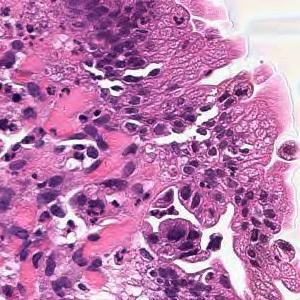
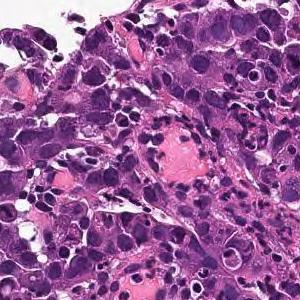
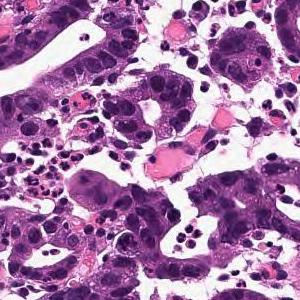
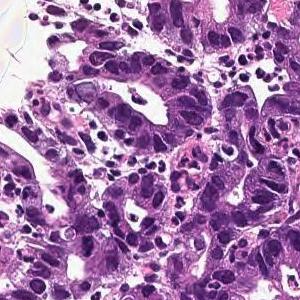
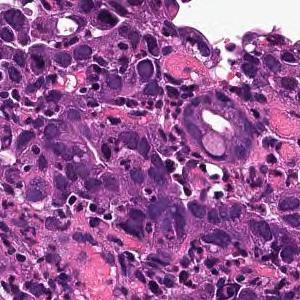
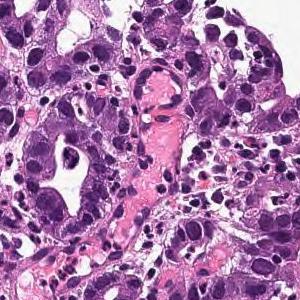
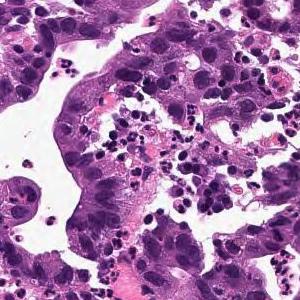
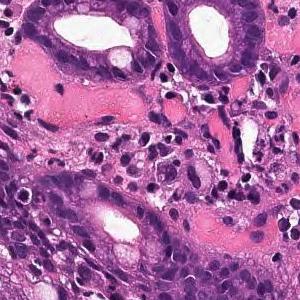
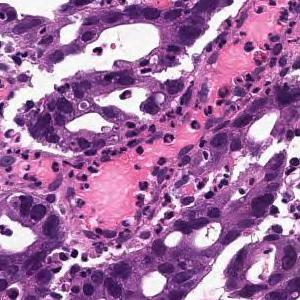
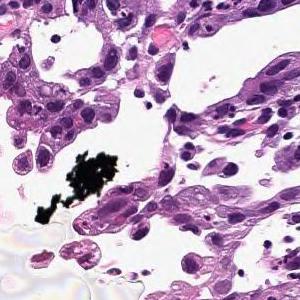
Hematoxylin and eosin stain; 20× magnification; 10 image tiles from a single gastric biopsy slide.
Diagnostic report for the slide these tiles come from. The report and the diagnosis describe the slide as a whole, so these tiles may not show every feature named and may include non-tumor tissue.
On the superficial epithelium, a tumor tissue consisting of a large, irregular glandular duct partially fused and infiltrating with a small alveolar shape is observed. Well or moderately differentiated tubular adenocarcinoma (well differentiated tubular adenocarcinoma, moderately differentiated tubular adenocarcinoma)
Classified as well to moderately differentiated tubular adenocarcinoma.
